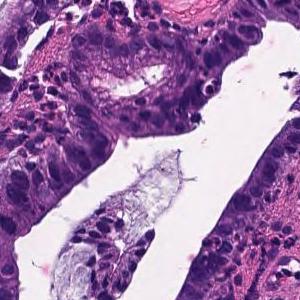
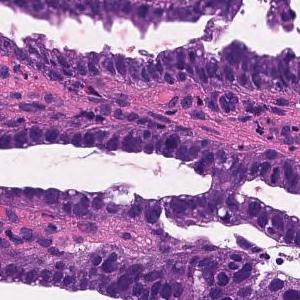
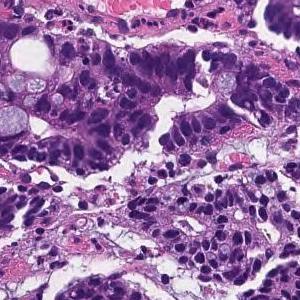
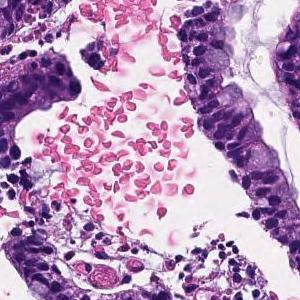
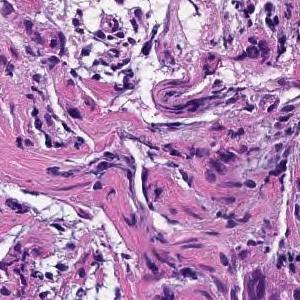
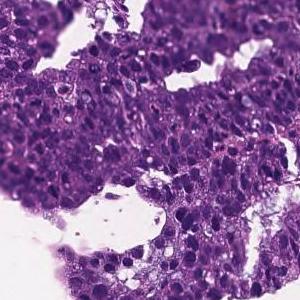
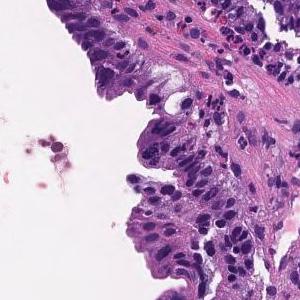
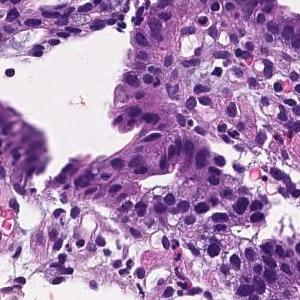
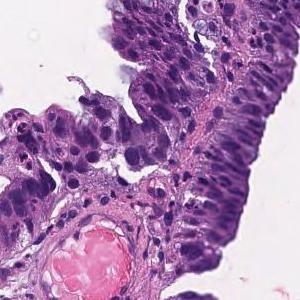
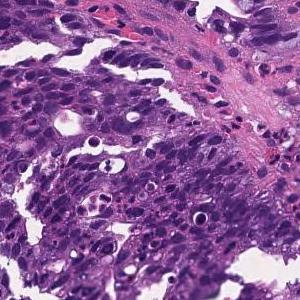
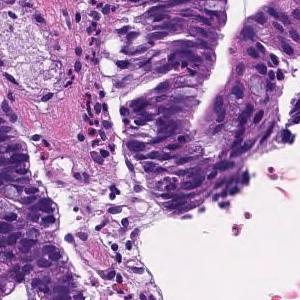
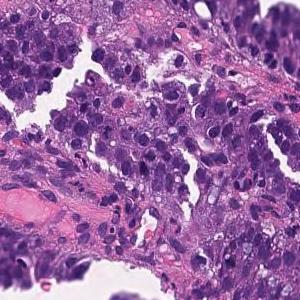
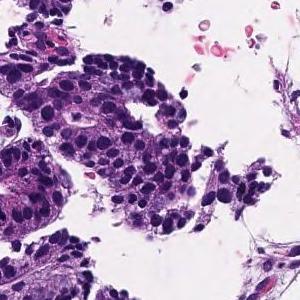
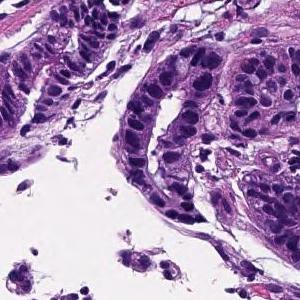
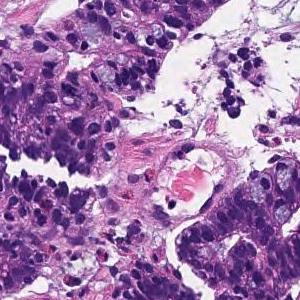
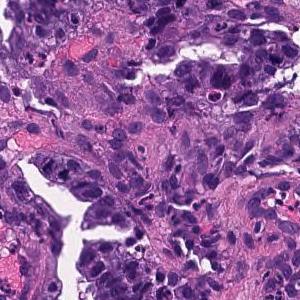
Scanned at ×20, 16 tiles cut from one stomach biopsy slide.
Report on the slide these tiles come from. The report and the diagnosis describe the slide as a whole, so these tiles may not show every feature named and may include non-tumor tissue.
Tumor cells are large, highly columnar, large club-shaped nuclei, and are associated with chromatin aggregation. Papillary adenocarcinoma.
